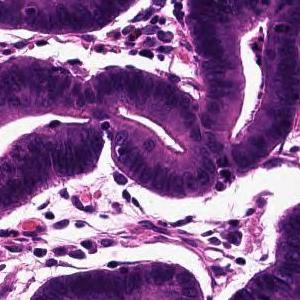
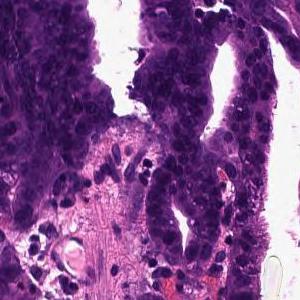
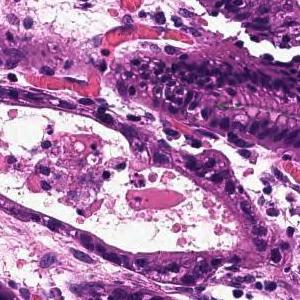
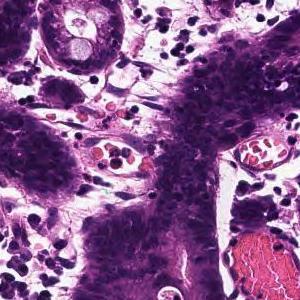
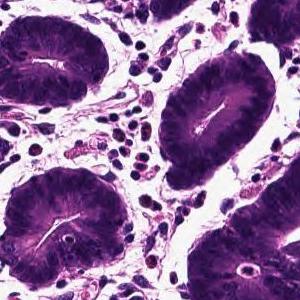
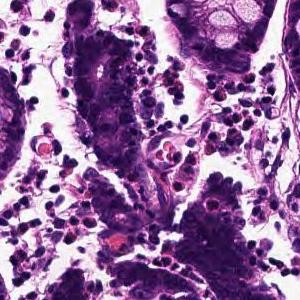
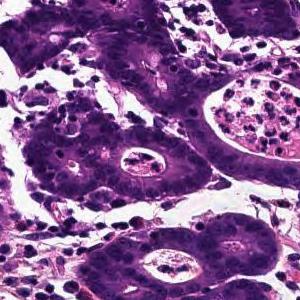
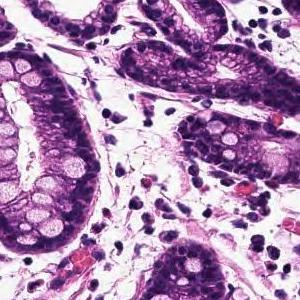
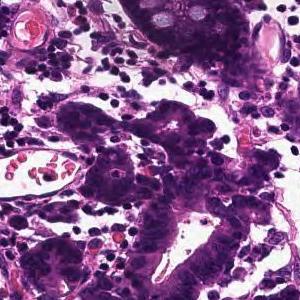
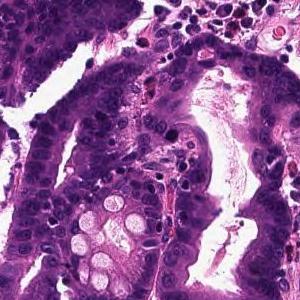
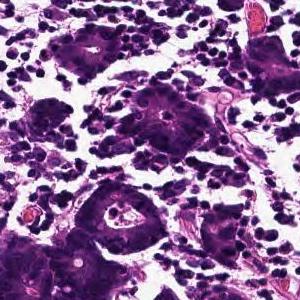
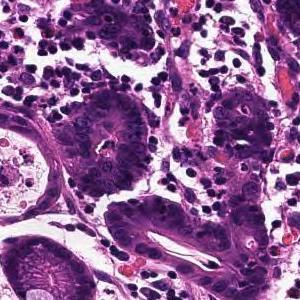
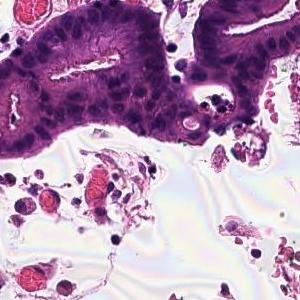
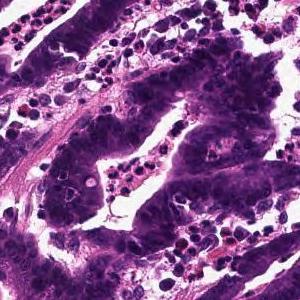
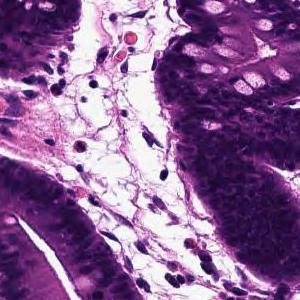
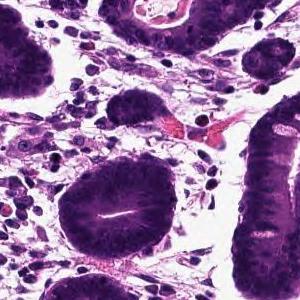
16 patches cut from one gastric biopsy slide, each 300 × 300 pixels.
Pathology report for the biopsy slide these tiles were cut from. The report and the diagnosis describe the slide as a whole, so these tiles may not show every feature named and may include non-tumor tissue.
Tumor tissue that infiltrates by forming large papillary or large irregular glandular ducts is observed confined to the mucosa. Papillary adenocarcinoma
